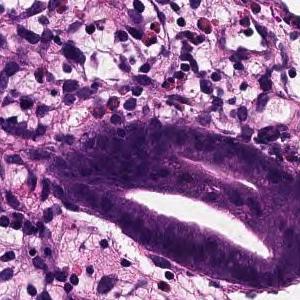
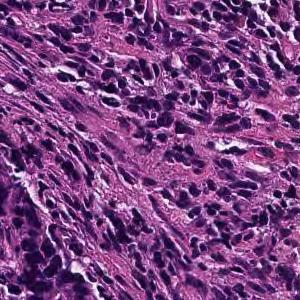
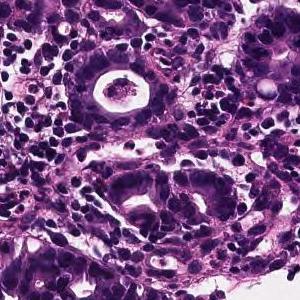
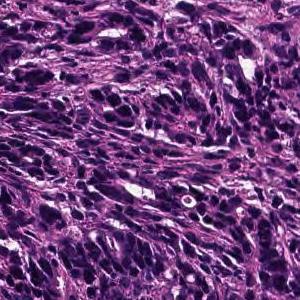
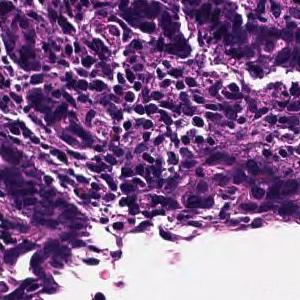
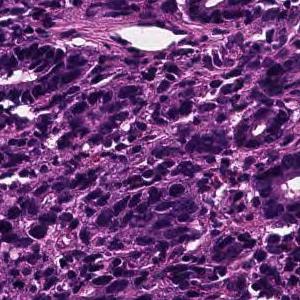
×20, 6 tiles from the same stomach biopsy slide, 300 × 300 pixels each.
The pathologist's report on the biopsy slide these tiles were taken from. The report and the diagnosis cover the entire slide, so not every feature they name need be visible here, and some tissue shown may not be tumor.
On the superficial epithelium, tumor tissue is found in which medium-sized irregular gland ducts fuse with each other and infiltrate. moderately differentiated tubular adenocarcinoma or Poorly differentiated adenocarcinoma, non-solid type
Histological subtype: Moderately to poorly differentiated adenocarcinoma.
The term "non-solid type" comes from the Japanese Classification of Gastric Carcinoma.
